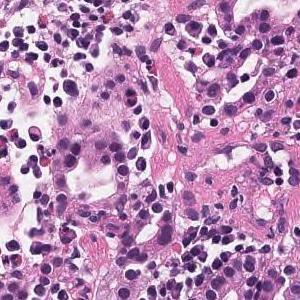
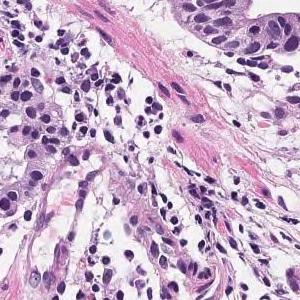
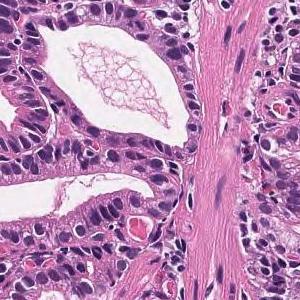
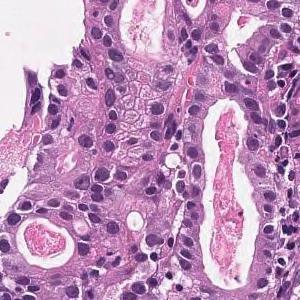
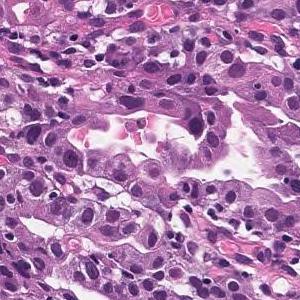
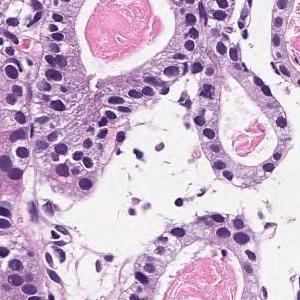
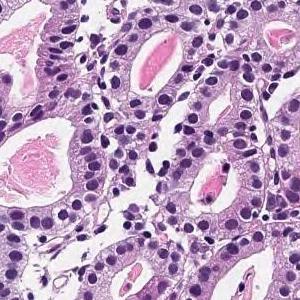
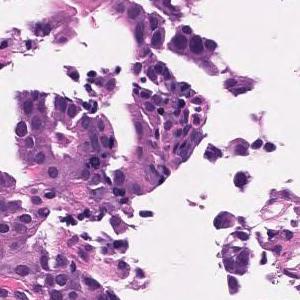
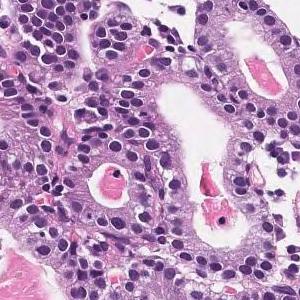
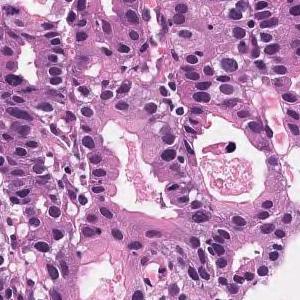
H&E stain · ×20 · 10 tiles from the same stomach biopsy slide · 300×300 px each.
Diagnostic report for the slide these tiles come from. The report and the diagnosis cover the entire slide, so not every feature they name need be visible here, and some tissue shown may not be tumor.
Medium to small, irregular glandular ducts are formed in the superficial epithelium, and in some cases, the glandular ducts are fused to show solid alveolar lesions and infiltrating tumor tissue is observed. Moderately to poorly differentiated adenocarcinoma.
